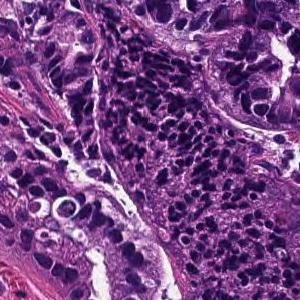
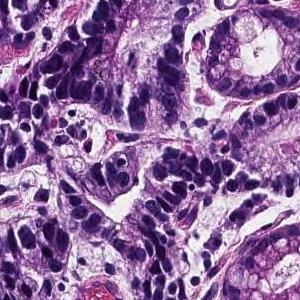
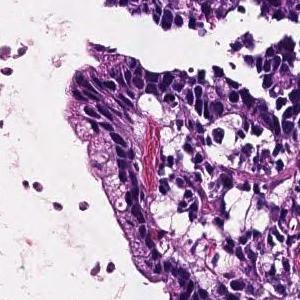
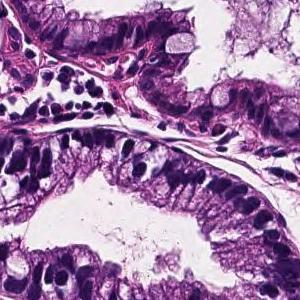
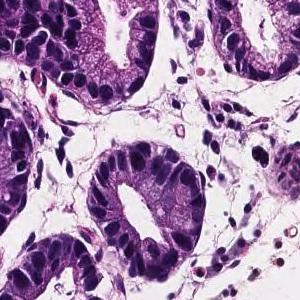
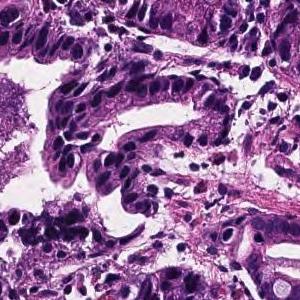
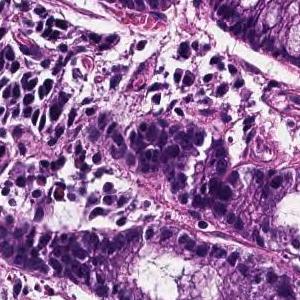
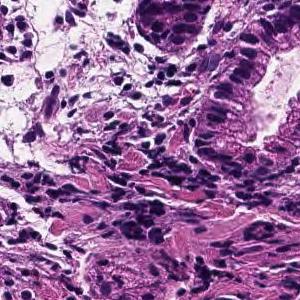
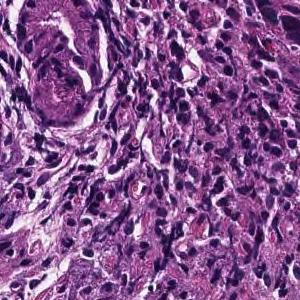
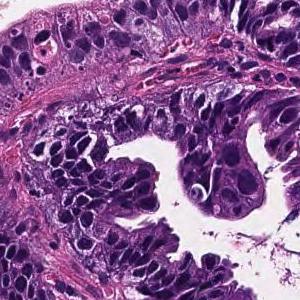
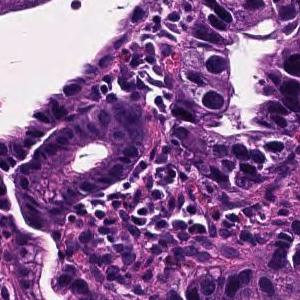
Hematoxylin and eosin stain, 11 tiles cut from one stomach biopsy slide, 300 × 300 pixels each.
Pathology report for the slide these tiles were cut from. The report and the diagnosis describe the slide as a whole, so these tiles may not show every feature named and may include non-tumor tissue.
Tumor cells are large, highly columnar, large club-shaped nuclei, and are associated with chromatin aggregation. Papillary adenocarcinoma.
